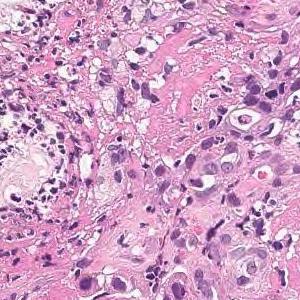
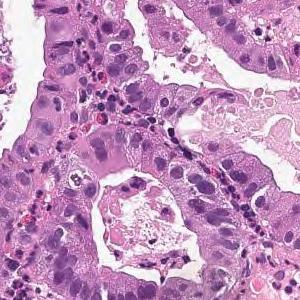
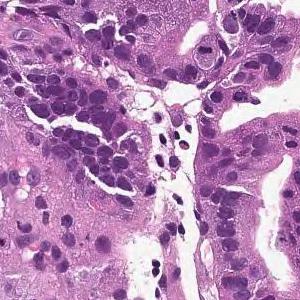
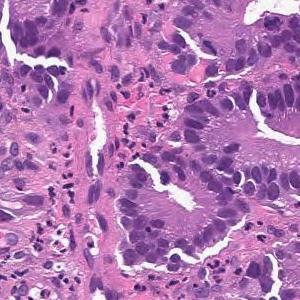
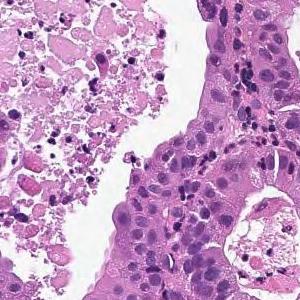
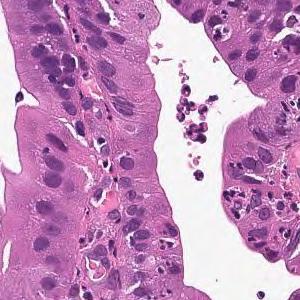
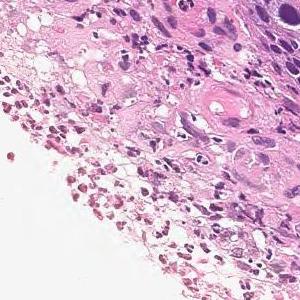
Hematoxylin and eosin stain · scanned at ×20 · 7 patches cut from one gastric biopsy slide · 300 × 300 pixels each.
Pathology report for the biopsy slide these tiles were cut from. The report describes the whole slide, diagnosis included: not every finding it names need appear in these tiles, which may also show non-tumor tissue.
From the superficial epithelium to the muscularis mucosae, tumor tissue consisting of medium-sized and irregular glandular ducts infiltrating is observed. Well differentiated tubular adenocarcinoma
